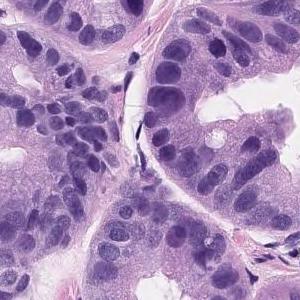
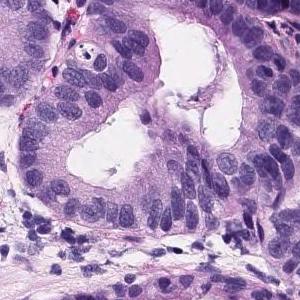
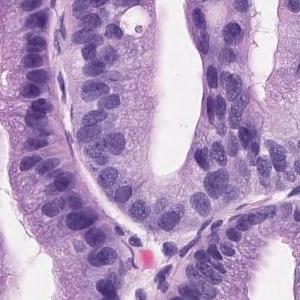
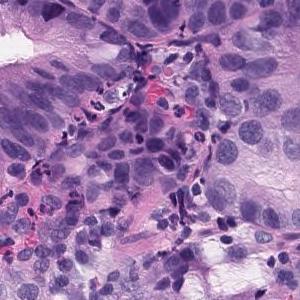
Scanned at ×20; 4 tiles cut from one stomach biopsy slide.
The pathologist's report on the biopsy slide these tiles were taken from. The report and the diagnosis describe the slide as a whole, so these tiles may not show every feature named and may include non-tumor tissue.
Tumor tissue consisting of medium-sized and irregular ducts is observed infiltrating in the superficial epithelium. Tumor cells are highly columnar, with nuclei aligned basolaterally and polarized. Well differentiated tubular adenocarcinoma.
